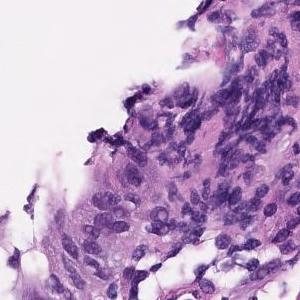
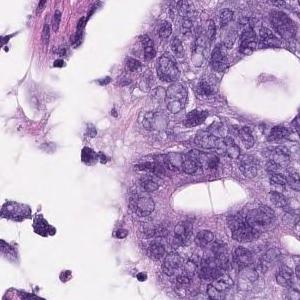
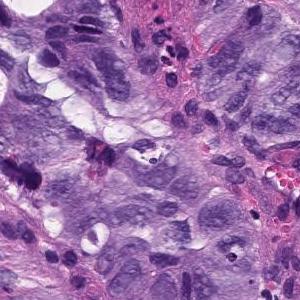
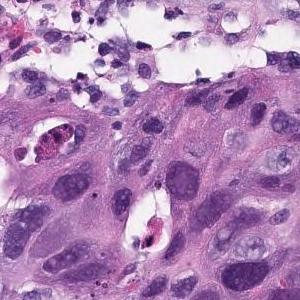
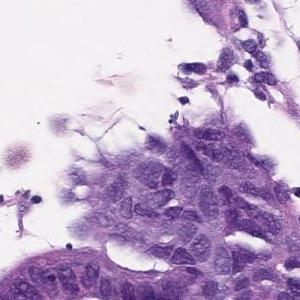
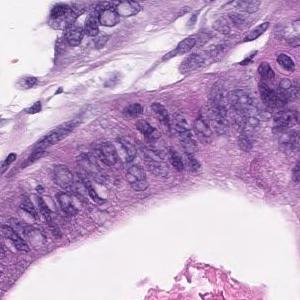
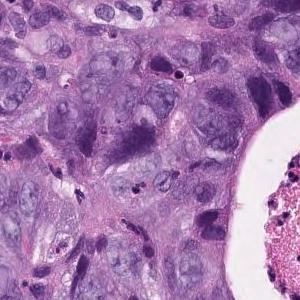
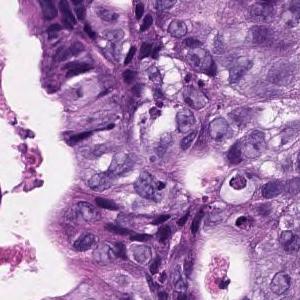
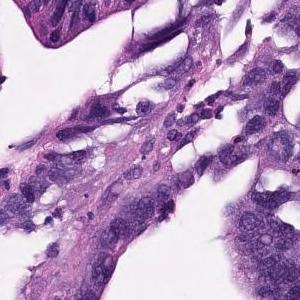
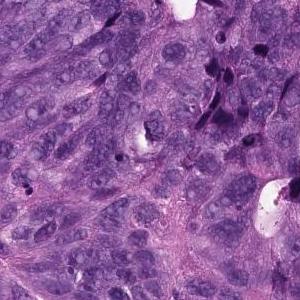
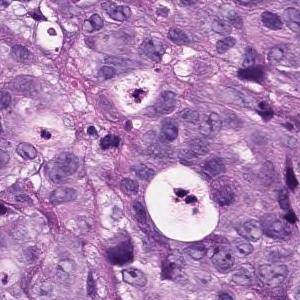
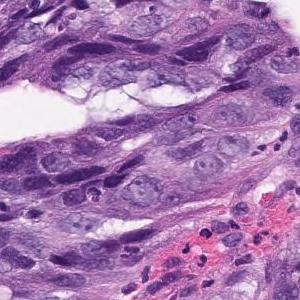
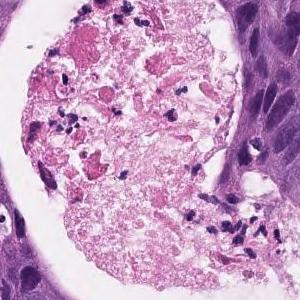
13 tiles from the same stomach biopsy slide · H&E · 20× magnification.
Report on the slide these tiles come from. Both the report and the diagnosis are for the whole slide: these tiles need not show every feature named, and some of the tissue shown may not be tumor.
In the superficial epithelium, tumor tissue that invades by forming medium-sized to small, irregular ducts is observed. Moderately differentiated adenocarcinoma.
Tumor subtype: moderately differentiated tubular adenocarcinoma.
